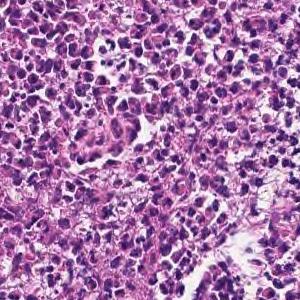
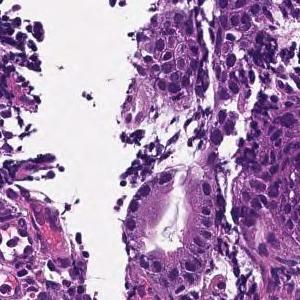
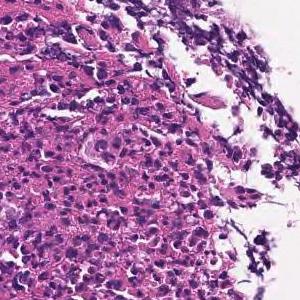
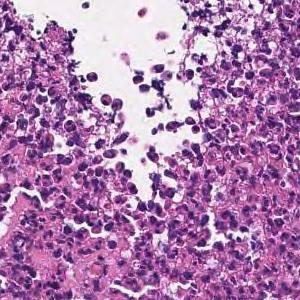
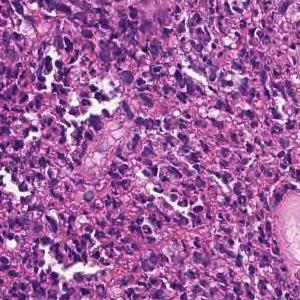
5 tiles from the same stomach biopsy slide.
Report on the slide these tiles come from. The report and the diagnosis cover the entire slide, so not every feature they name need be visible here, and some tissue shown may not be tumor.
In the superficial epithelium, tumor tissue infiltrated by partial fusion of medium-sized to small, irregular glandular ducts is observed. moderately differentiated tubular adenocarcinoma
